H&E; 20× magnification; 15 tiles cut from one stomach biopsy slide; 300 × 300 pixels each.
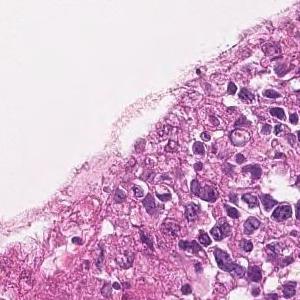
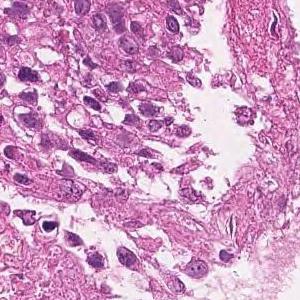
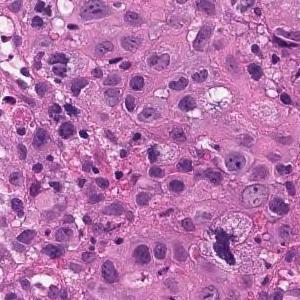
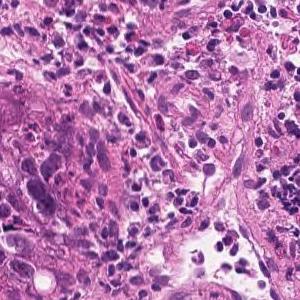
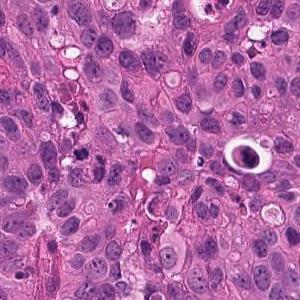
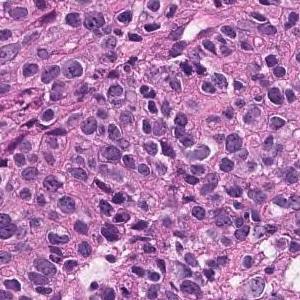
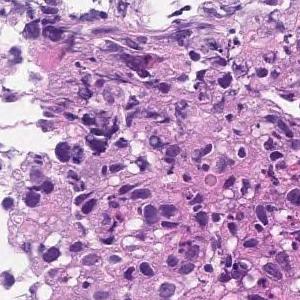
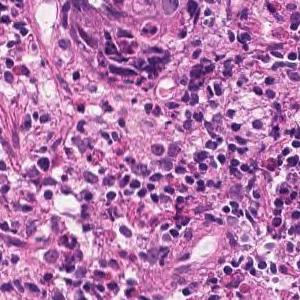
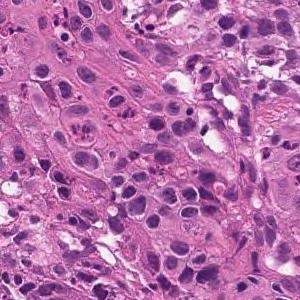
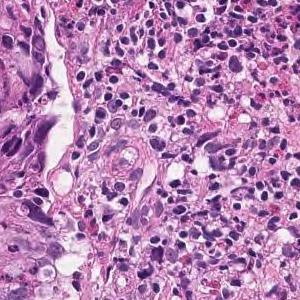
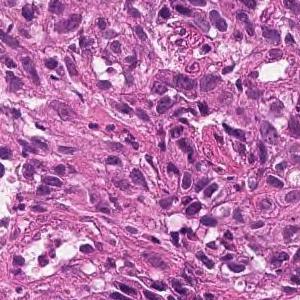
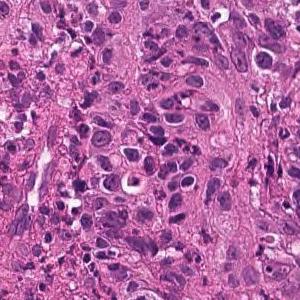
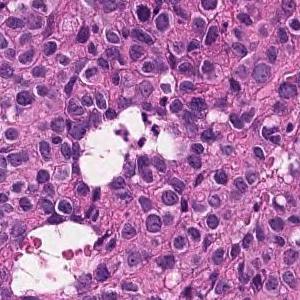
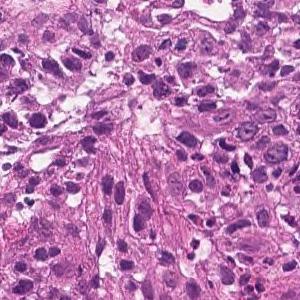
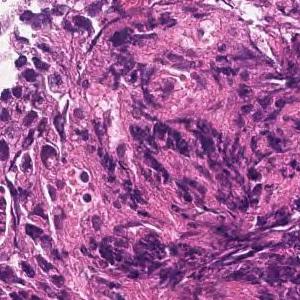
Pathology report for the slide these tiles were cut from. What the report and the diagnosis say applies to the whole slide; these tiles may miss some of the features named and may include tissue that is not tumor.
The superficial epithelium shows a large sheet-like shape, and some tumor tissue infiltrates with small irregular ducts. Poorly differentiated adenocarcinoma, solid-type
Tumor subtype: poorly differentiated adenocarcinoma, solid type. This name comes from the Japanese Classification of Gastric Carcinoma; the WHO 2019 classification calls it tubular adenocarcinoma, poorly differentiated.
